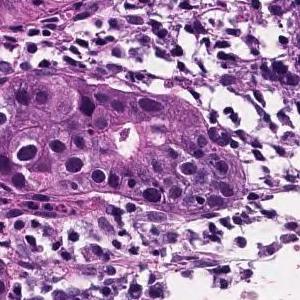
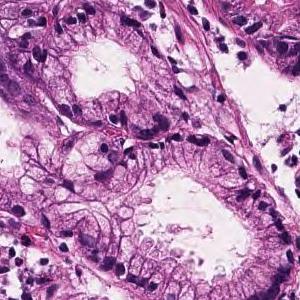
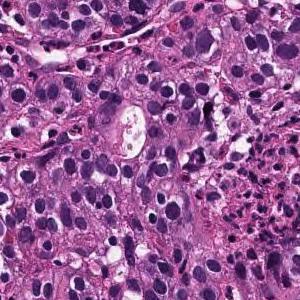
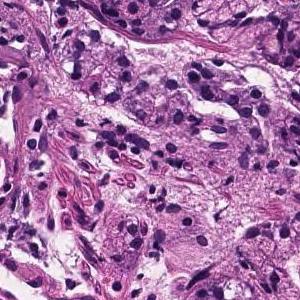
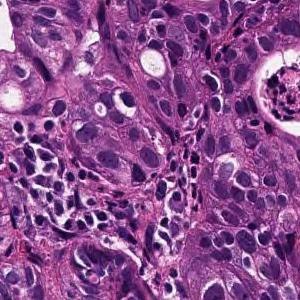
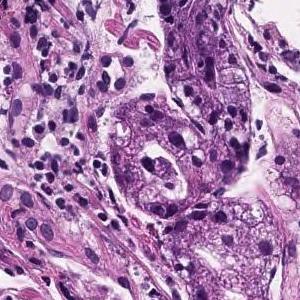
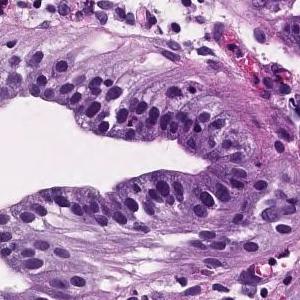
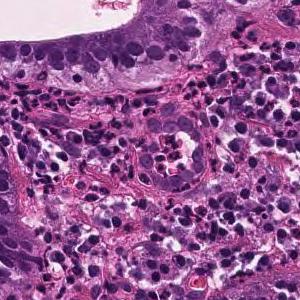
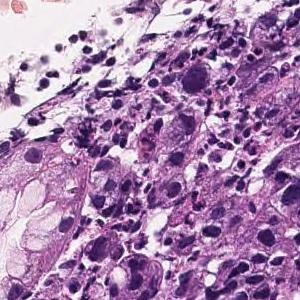
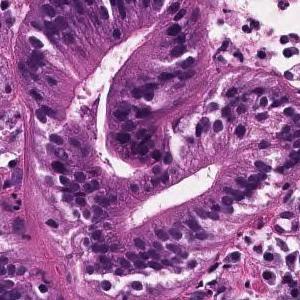
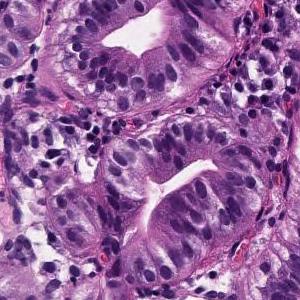
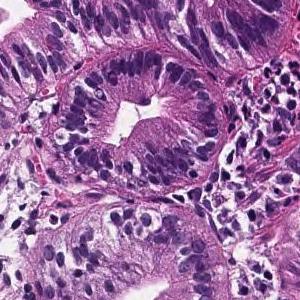
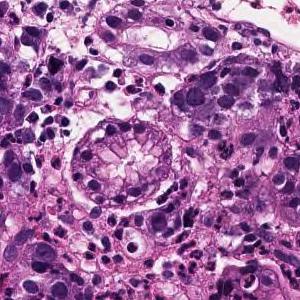
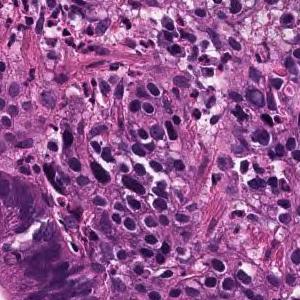
×20, hematoxylin and eosin stain, 14 tiles cut from one stomach biopsy slide.
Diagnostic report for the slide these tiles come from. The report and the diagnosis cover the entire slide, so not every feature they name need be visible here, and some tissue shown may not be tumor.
In the superficial epithelium, tumor tissue that invades by forming medium-sized to small, irregular ducts is observed. moderately differentiated tubular adenocarcinoma.
